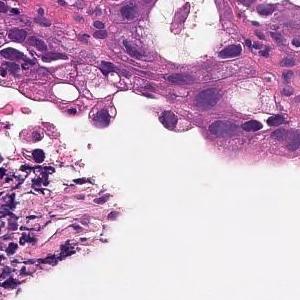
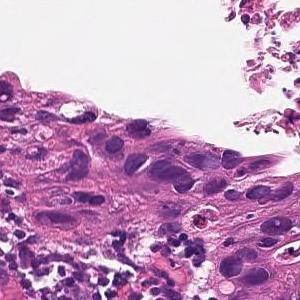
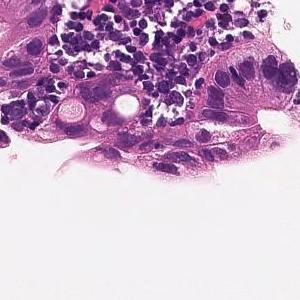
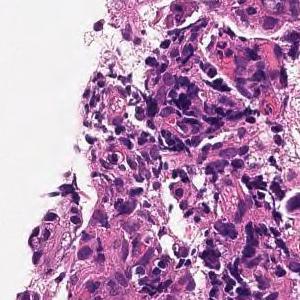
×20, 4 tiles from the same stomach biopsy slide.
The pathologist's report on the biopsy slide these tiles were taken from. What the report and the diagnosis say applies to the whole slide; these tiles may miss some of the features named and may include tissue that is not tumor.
From the superficial epithelium to the muscularis mucosae, tumor tissue consisting of medium-sized and irregular glandular ducts infiltrating is observed. Well differentiated tubular adenocarcinoma
